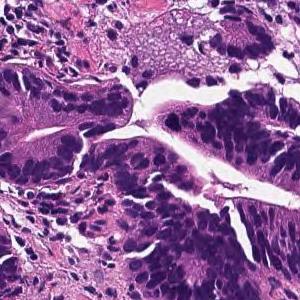
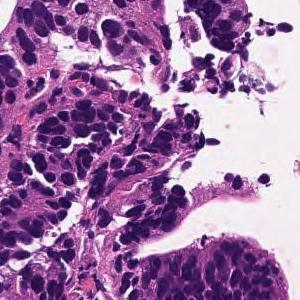
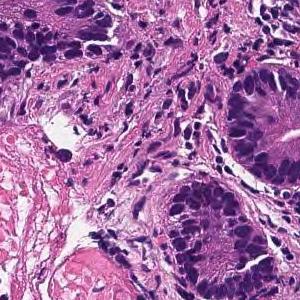
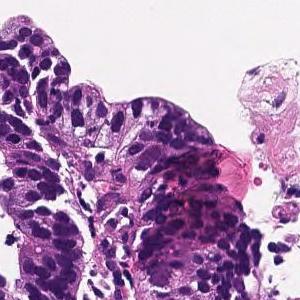
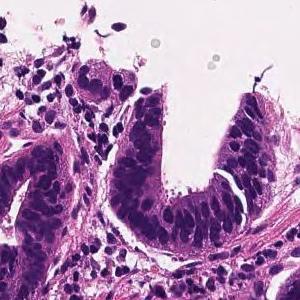
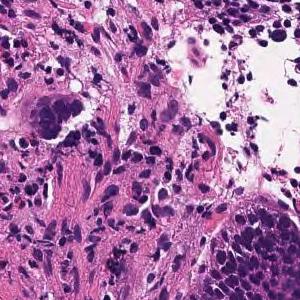
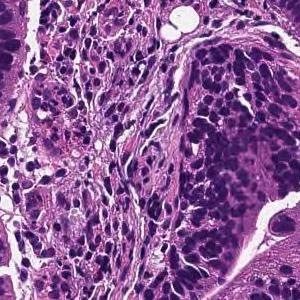
7 image tiles from a single gastric biopsy slide · each 300 × 300 pixels · H&E stain · ×20.
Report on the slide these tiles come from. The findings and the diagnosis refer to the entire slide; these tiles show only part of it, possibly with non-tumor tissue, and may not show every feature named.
From the superficial epithelium to the muscularis mucosae, tumor tissue consisting of medium-sized and irregular glandular ducts infiltrating is observed. Well differentiated tubular adenocarcinoma
